13 patches cut from one gastric biopsy slide, hematoxylin and eosin stain, 20× magnification.
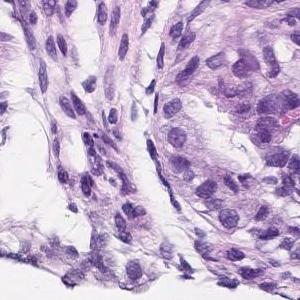
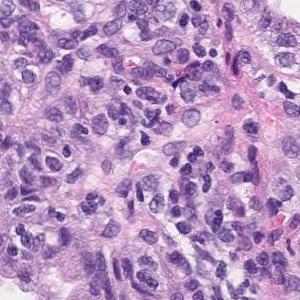
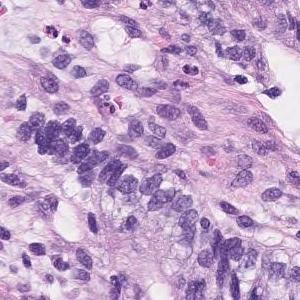
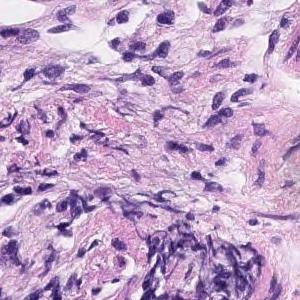
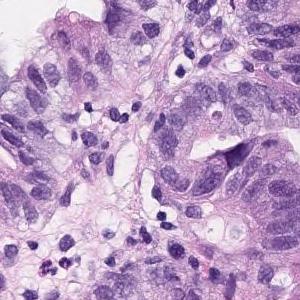
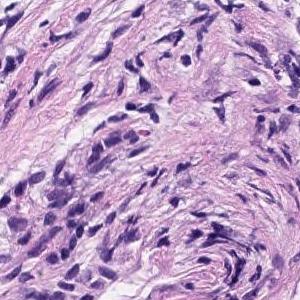
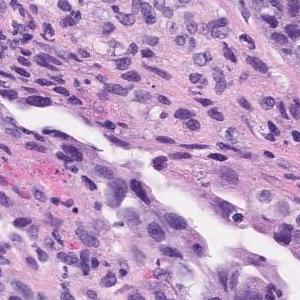
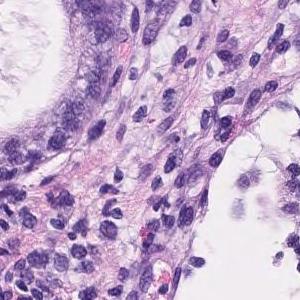
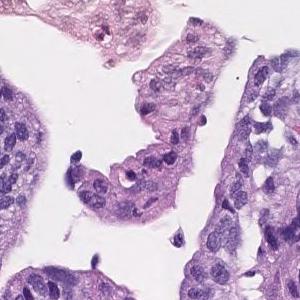
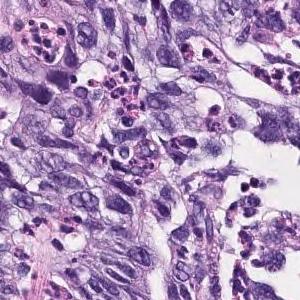
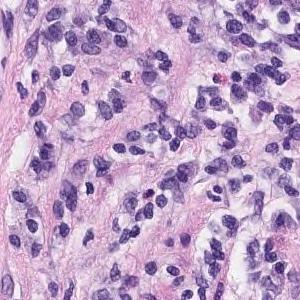
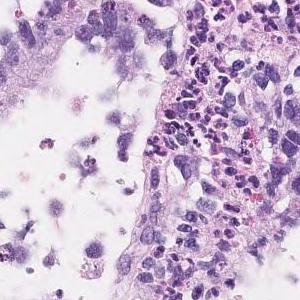
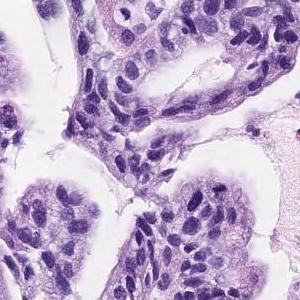
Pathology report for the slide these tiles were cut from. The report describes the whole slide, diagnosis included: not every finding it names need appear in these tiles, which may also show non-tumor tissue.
Tumor cells are large, highly columnar, large club-shaped nuclei, and are associated with chromatin aggregation. Papillary adenocarcinoma.
